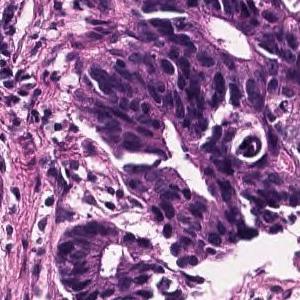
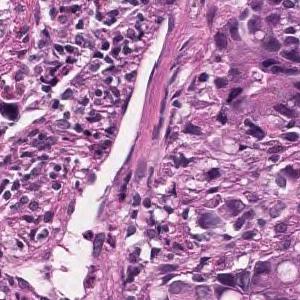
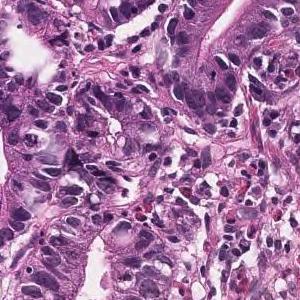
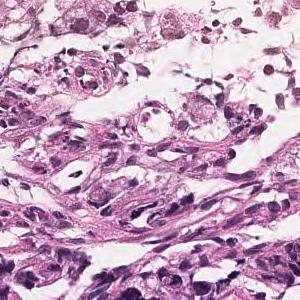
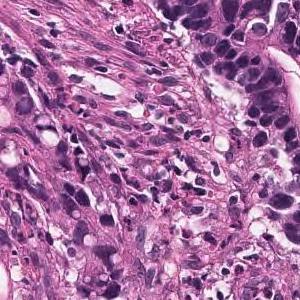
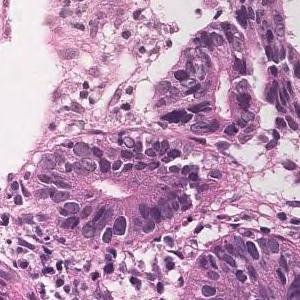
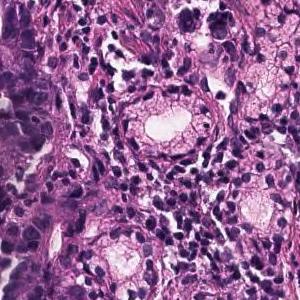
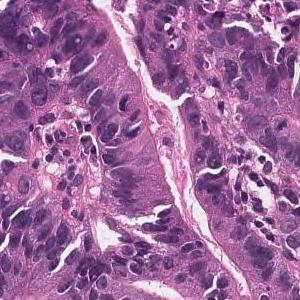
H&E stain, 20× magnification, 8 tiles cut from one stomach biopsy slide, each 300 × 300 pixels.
Pathology report for the biopsy slide these tiles were cut from. The report and the diagnosis describe the slide as a whole, so these tiles may not show every feature named and may include non-tumor tissue.
In the superficial epithelium, tumor tissue is found in which medium-sized irregular gland ducts fuse with each other and infiltrate. moderately differentiated tubular adenocarcinoma
